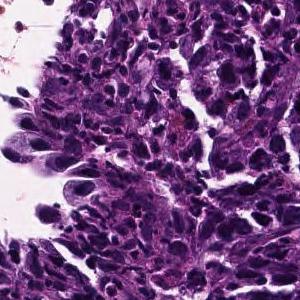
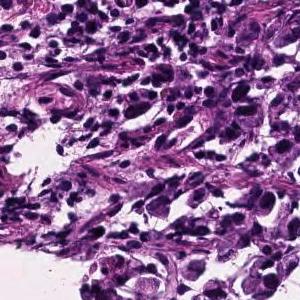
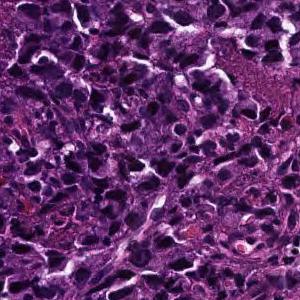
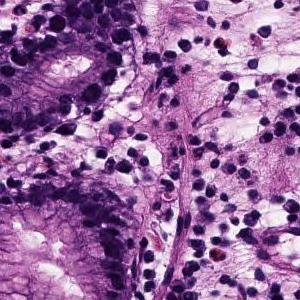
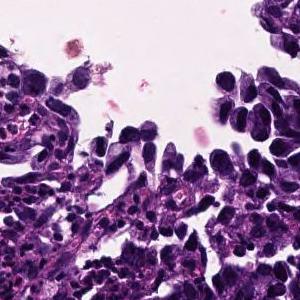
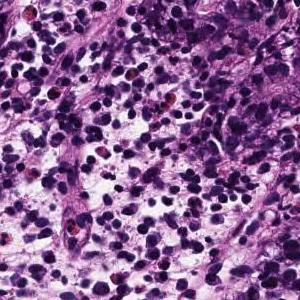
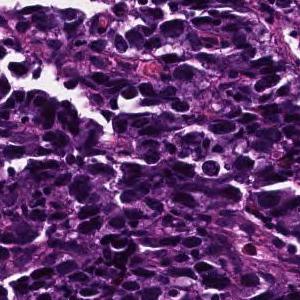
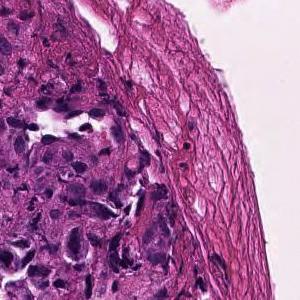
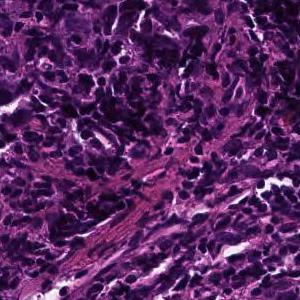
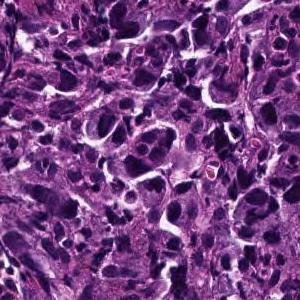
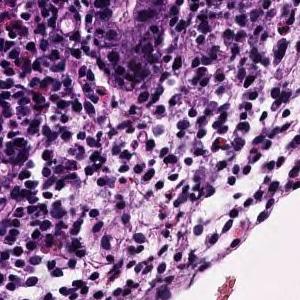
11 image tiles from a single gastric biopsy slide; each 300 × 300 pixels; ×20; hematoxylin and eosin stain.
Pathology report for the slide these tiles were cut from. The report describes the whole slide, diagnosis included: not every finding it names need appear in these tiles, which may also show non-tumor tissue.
The superficial epithelium shows a large sheet-like shape, and some tumor tissues infiltrate with a small cord-like structure. Poorly differentiated adenocarcinoma, solid type (poorly differentiated adenocarcinoma, solid type)
Subtype: Poorly differentiated adenocarcinoma, solid type, a category of the Japanese Classification of Gastric Carcinoma; in the WHO 2019 classification it is tubular adenocarcinoma, poorly differentiated.
